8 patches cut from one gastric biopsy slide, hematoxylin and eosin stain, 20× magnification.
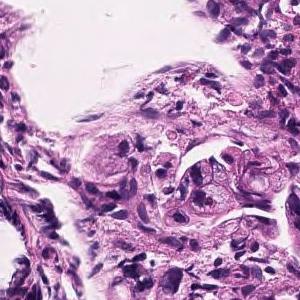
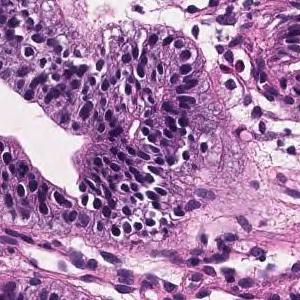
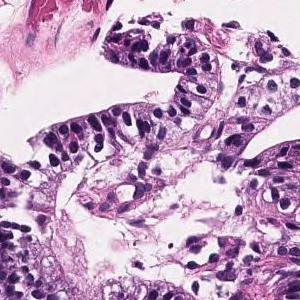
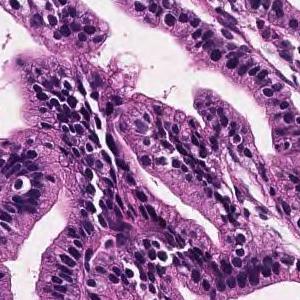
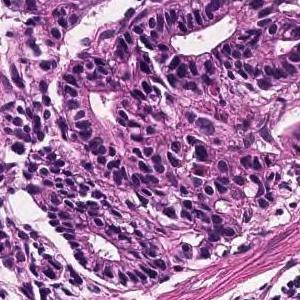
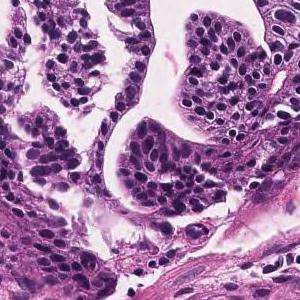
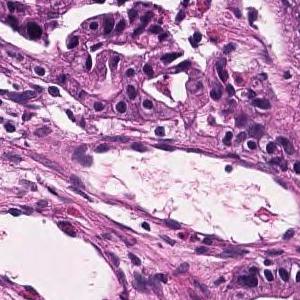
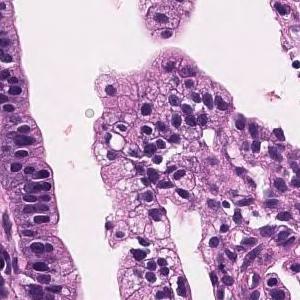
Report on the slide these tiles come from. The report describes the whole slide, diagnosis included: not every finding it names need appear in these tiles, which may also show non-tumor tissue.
Tumor tissue consisting of large papillary structures or irregular glandular ducts partially fused and infiltrated is observed in the superficial epithelium. Well to moderately differentiated tubular adenocarcinoma.
The dataset labels this slide moderately differentiated tubular adenocarcinoma.
